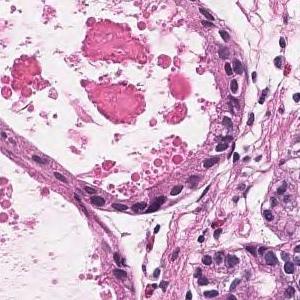
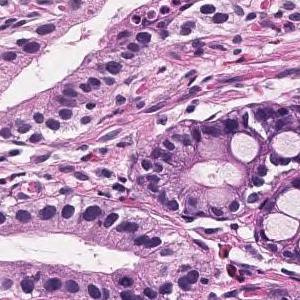
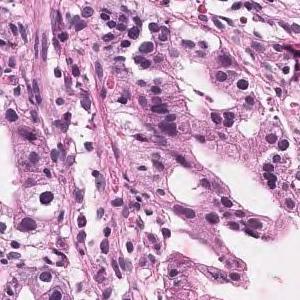
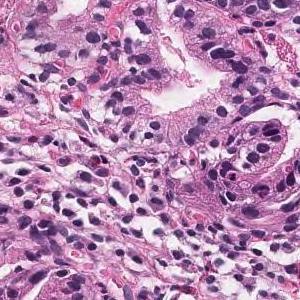
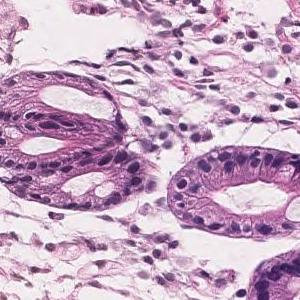
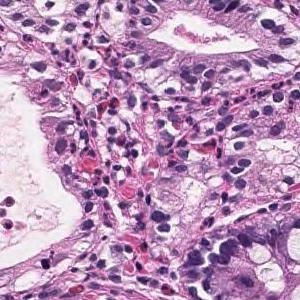
6 tiles cut from one stomach biopsy slide, each 300 × 300 pixels.
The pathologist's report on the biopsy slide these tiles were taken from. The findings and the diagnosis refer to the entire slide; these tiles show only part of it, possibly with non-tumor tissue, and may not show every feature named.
On the superficial epithelium, tumor tissue consisting of large, irregular glandular ducts partially fused and infiltrated is observed. Well differentiated tubular adenocarcinoma
